14 image tiles from a single gastric biopsy slide · 300×300 px each · ×20 · H&E stain.
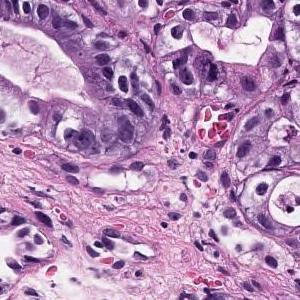
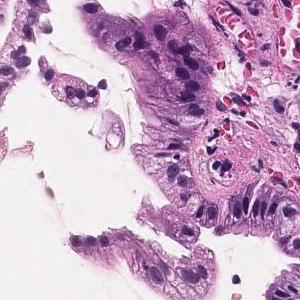
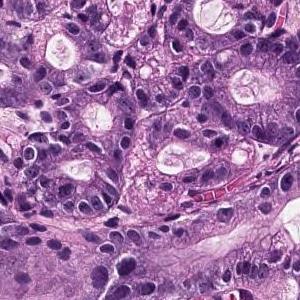
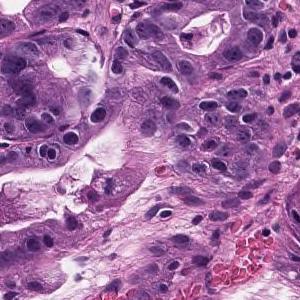
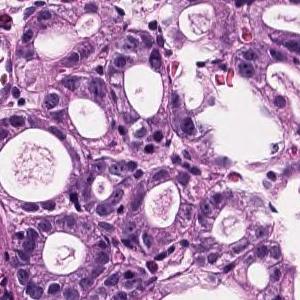
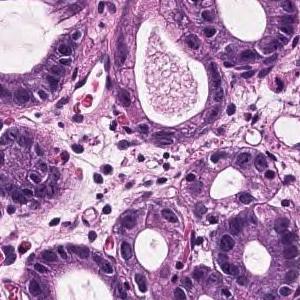
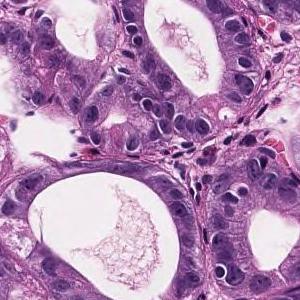
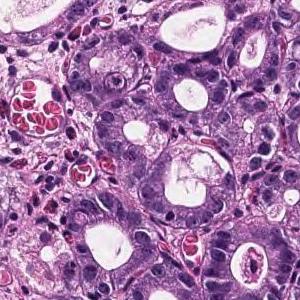
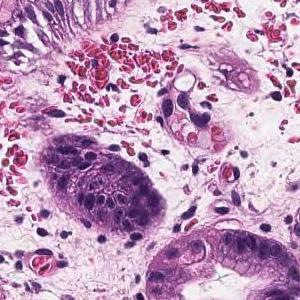
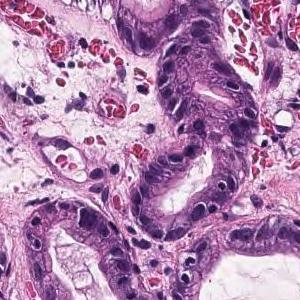
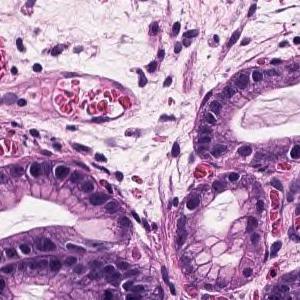
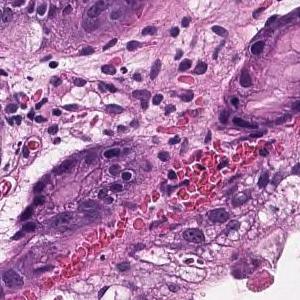
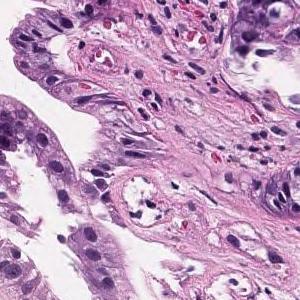
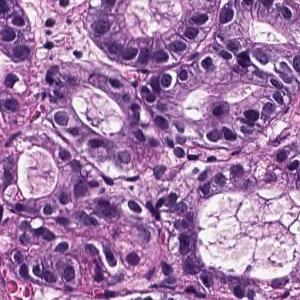
The pathologist's report on the biopsy slide these tiles were taken from. The findings and the diagnosis refer to the entire slide; these tiles show only part of it, possibly with non-tumor tissue, and may not show every feature named.
On the superficial epithelium, tumor tissue that infiltrates by forming medium-sized round or small irregular ducts is observed. Papillary adenocarcinoma
